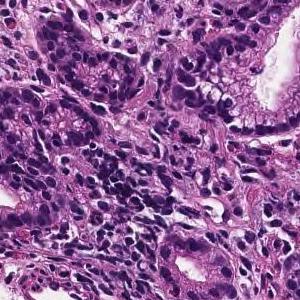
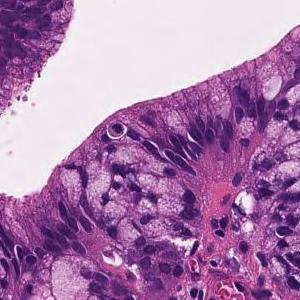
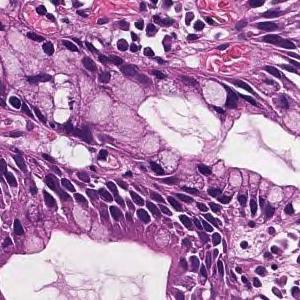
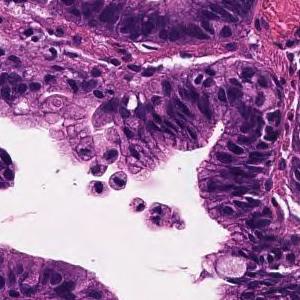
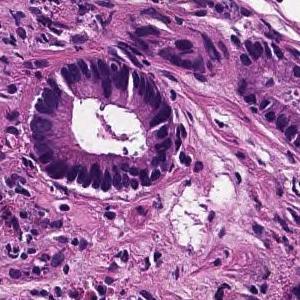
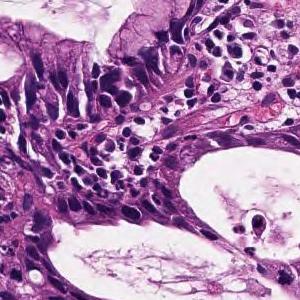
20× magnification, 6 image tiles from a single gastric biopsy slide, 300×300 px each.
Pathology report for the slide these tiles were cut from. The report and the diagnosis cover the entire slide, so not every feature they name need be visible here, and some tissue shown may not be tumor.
On the superficial epithelium, tumor tissue consisting of medium-sized and irregular glandular ducts partially fused and infiltrated is observed. Well to moderately differentiated tubular adenocarcinoma (well differentiated tubular adenocarcinoma-moderately differentiated tubular adenocarcinoma)
Tumor subtype: well to moderately differentiated tubular adenocarcinoma.
